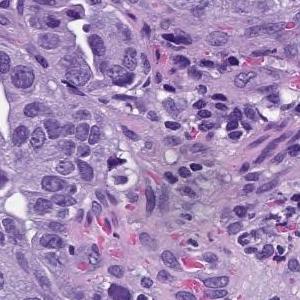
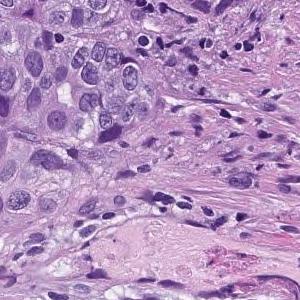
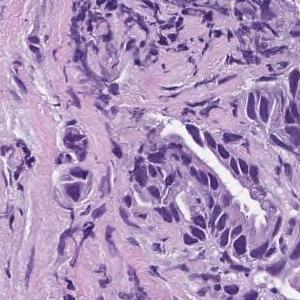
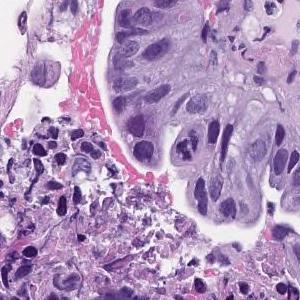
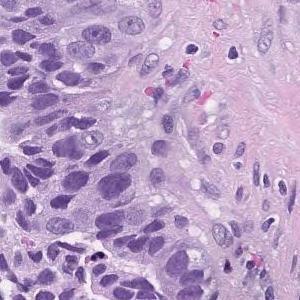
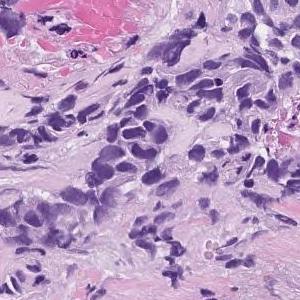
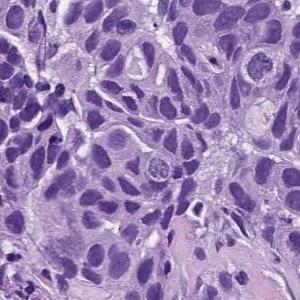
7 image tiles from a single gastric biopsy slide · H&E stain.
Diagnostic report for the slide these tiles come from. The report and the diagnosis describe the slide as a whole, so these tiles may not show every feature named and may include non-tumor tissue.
In the superficial epithelium, tumor tissue that invades by forming medium-sized to small, irregular ducts is observed. moderately differentiated tubular adenocarcinoma.
